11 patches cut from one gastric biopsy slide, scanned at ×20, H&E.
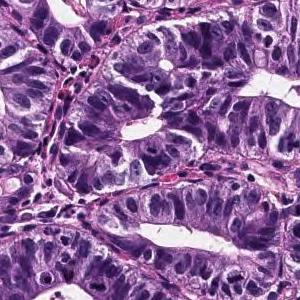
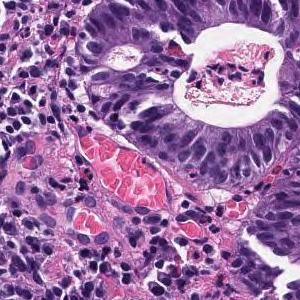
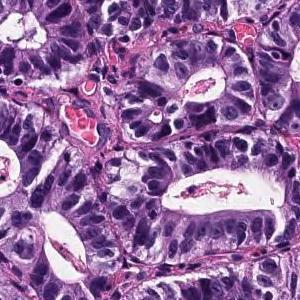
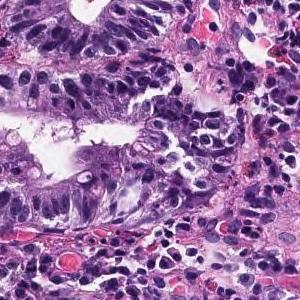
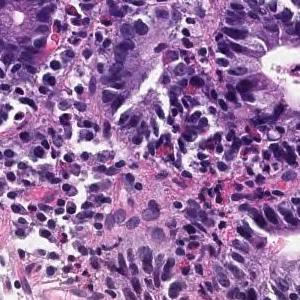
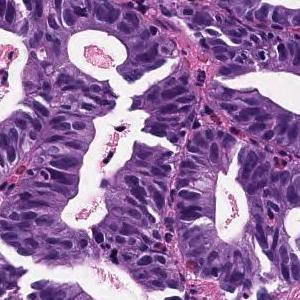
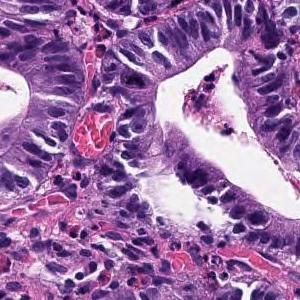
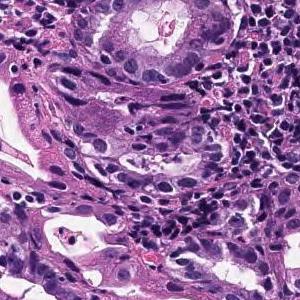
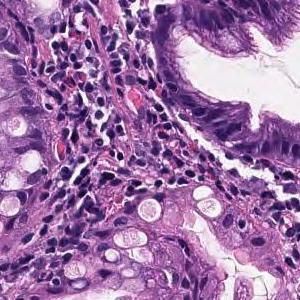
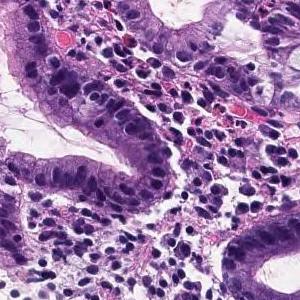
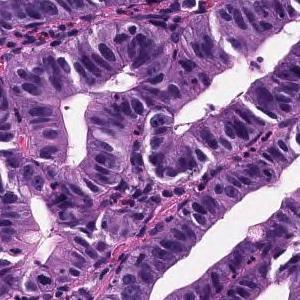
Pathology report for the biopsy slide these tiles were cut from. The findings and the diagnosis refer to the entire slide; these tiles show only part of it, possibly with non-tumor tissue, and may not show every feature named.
Tumor tissue consisting of medium-sized and irregular ducts is observed infiltrating in the superficial epithelium. Tumor cells are highly columnar, with nuclei aligned basolaterally and polarized. Well differentiated tubular adenocarcinoma.
